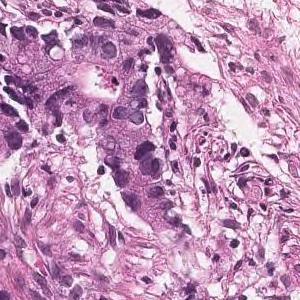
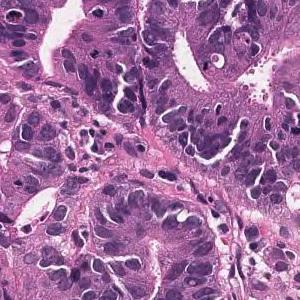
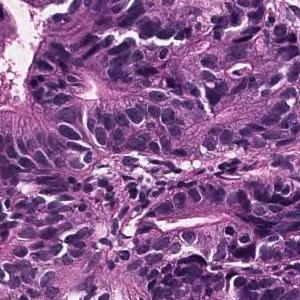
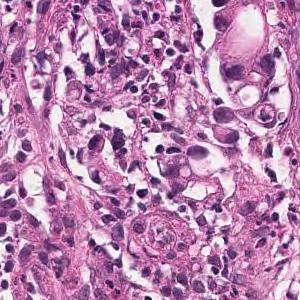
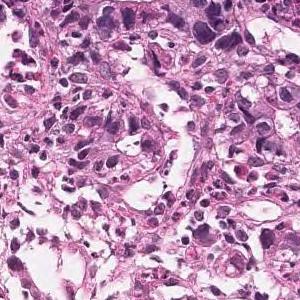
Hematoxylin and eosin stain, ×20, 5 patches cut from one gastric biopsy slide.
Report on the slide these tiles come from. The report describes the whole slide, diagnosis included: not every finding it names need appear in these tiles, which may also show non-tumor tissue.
In the superficial epithelium, tumor tissue is found in which medium-sized irregular gland ducts fuse with each other and infiltrate. moderately differentiated tubular adenocarcinoma
